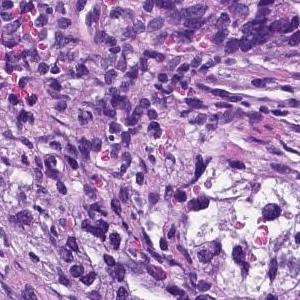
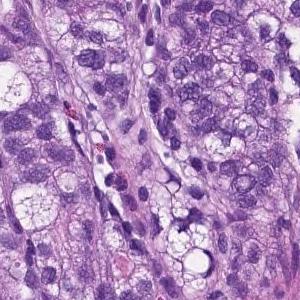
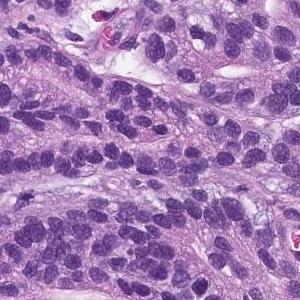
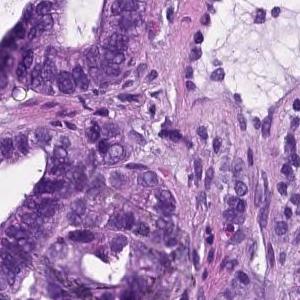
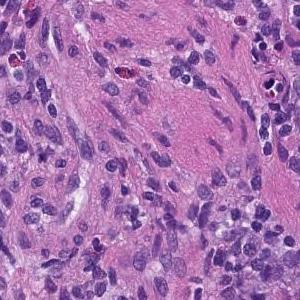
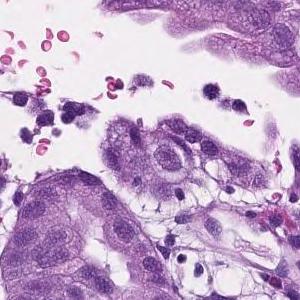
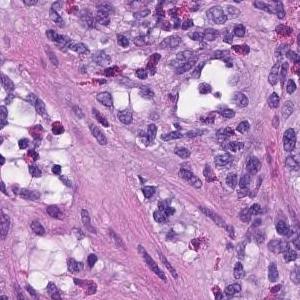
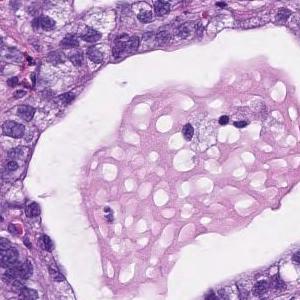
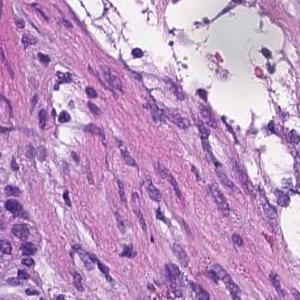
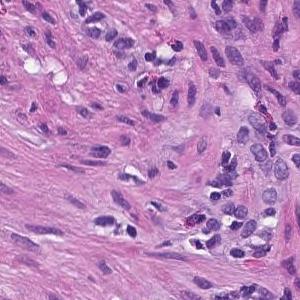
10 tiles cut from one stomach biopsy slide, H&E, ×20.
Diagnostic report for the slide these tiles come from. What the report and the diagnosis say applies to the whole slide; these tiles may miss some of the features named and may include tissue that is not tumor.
From the superficial epithelium to the muscularis mucosae, tumor tissue consisting of medium-sized and irregular glandular ducts infiltrating is observed. Well differentiated tubular adenocarcinoma
